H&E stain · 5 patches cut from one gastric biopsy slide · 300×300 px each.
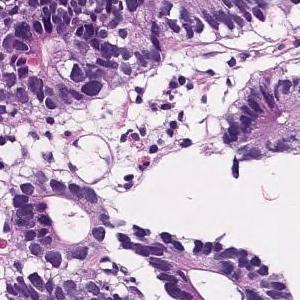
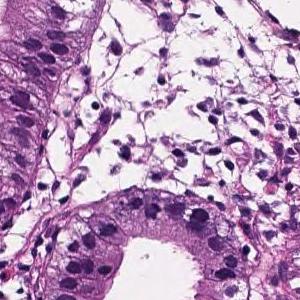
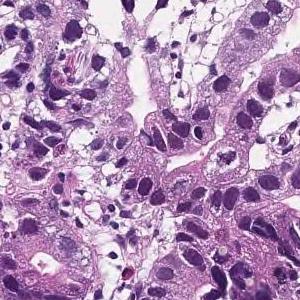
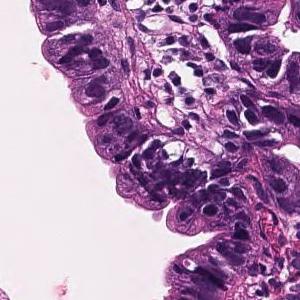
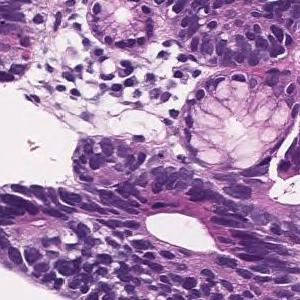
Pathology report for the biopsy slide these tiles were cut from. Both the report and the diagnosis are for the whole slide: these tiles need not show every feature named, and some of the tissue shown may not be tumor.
On the superficial epithelium, tumor tissue consisting of large, irregular glandular ducts partially fused and infiltrated is observed. Well to moderately differentiated tubular adenocarcinoma (well differentiated tubular adenocarcinoma, moderately differentiated tubular adenocarcinoma)
Histologic type: Well to moderately differentiated tubular adenocarcinoma.
